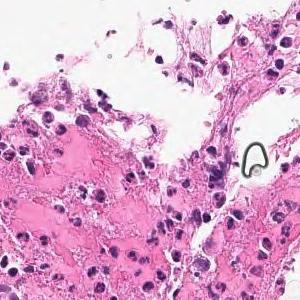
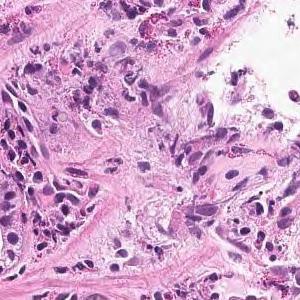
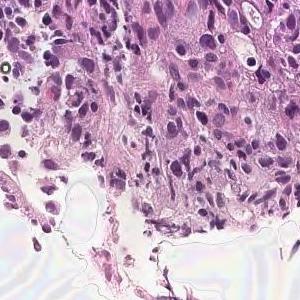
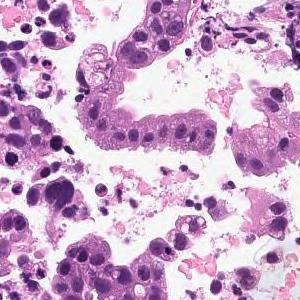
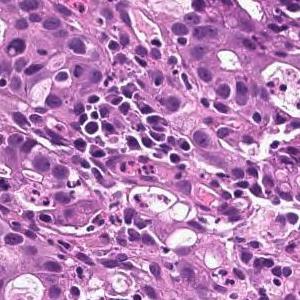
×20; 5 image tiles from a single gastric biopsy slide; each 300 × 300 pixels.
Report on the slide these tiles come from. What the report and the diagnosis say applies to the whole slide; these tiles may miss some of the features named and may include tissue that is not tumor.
On the superficial epithelium, tumor tissue consisting of large irregular glandular ducts partially fused and infiltrated is observed. Well to moderately differentiated tubular adenocarcinoma (well differentiated tubular adenocarcinoma, moderately differentiated tubular adenocarcinoma)
Tumor subtype: well to moderately differentiated tubular adenocarcinoma.
